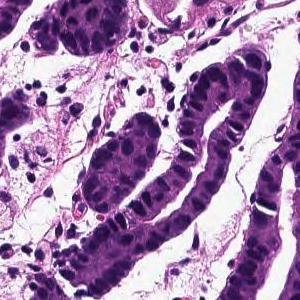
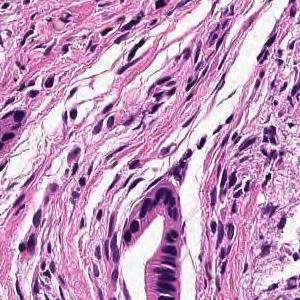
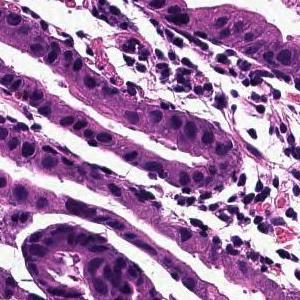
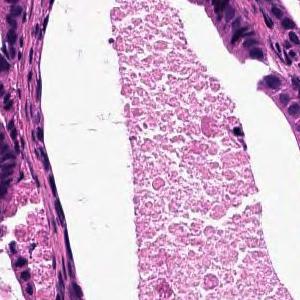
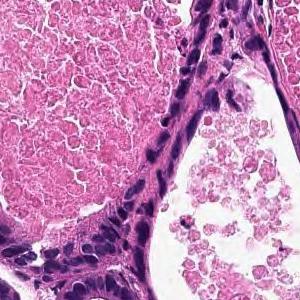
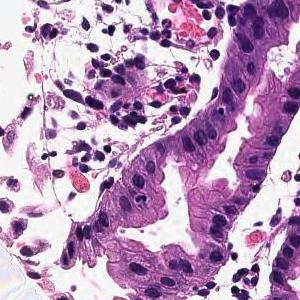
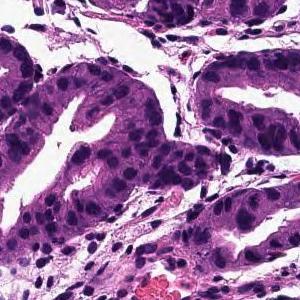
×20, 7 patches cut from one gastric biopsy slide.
The pathologist's report on the biopsy slide these tiles were taken from. The report and the diagnosis cover the entire slide, so not every feature they name need be visible here, and some tissue shown may not be tumor.
From the superficial epithelium to the muscularis mucosae, tumor tissue consisting of medium-sized and irregular glandular ducts infiltrating is observed. Well differentiated tubular adenocarcinoma
